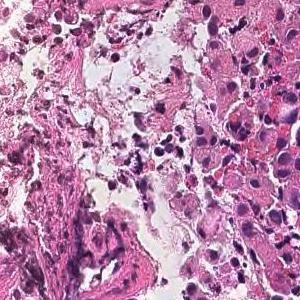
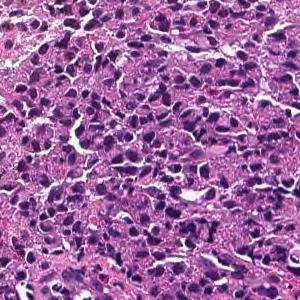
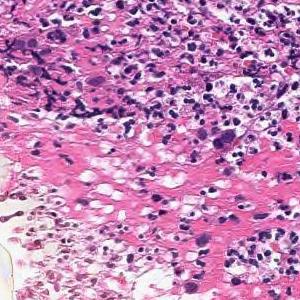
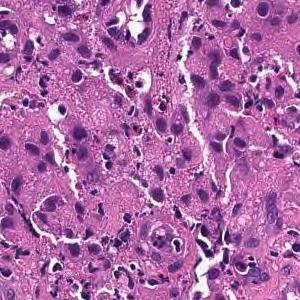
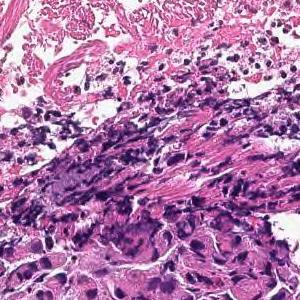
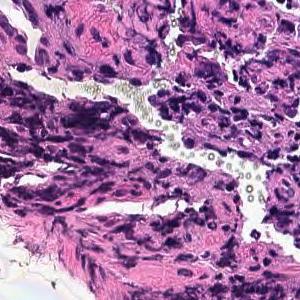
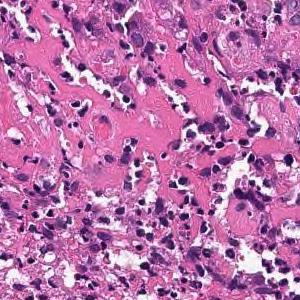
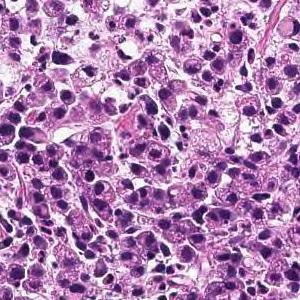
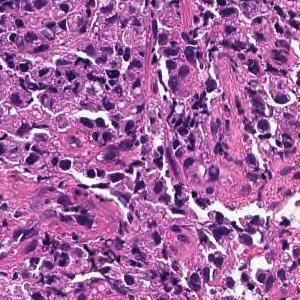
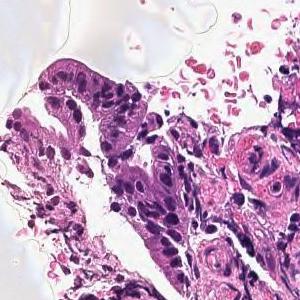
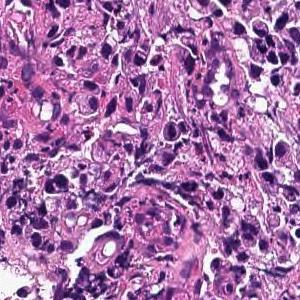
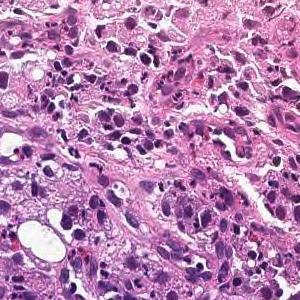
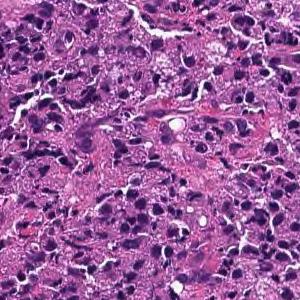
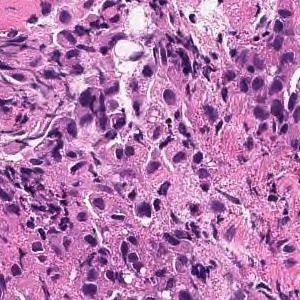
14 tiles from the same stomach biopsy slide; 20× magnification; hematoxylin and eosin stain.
Diagnostic report for the slide these tiles come from. The report and the diagnosis describe the slide as a whole, so these tiles may not show every feature named and may include non-tumor tissue.
Tumor tissue consisting of diffusely infiltrated large atypical epithelial cells or signet ring atypical cells is observed in the superficial epithelium. Poorly differentiated adenocarcinoma, solid-type
Subtype: Poorly differentiated adenocarcinoma, solid type, a category of the Japanese Classification of Gastric Carcinoma; in the WHO 2019 classification it is tubular adenocarcinoma, poorly differentiated.
